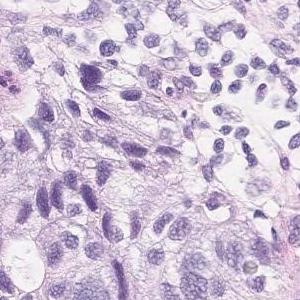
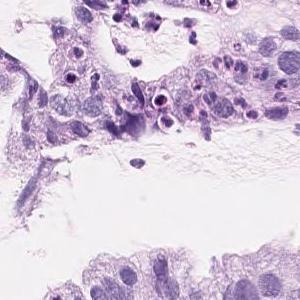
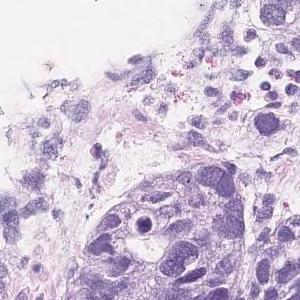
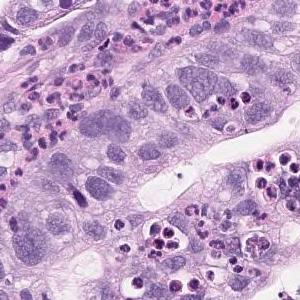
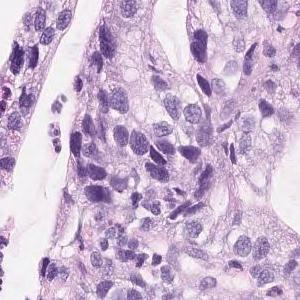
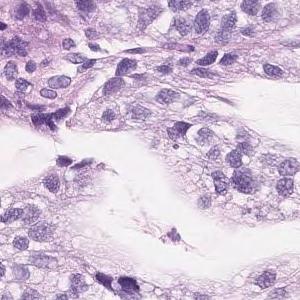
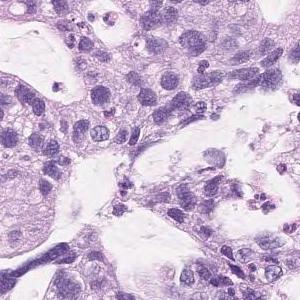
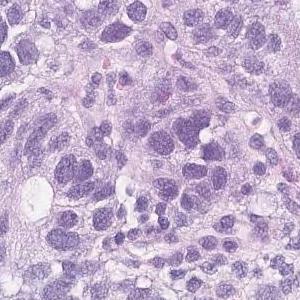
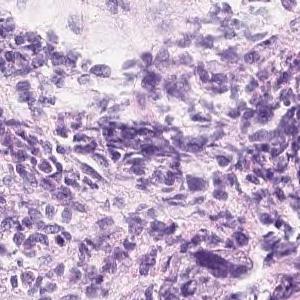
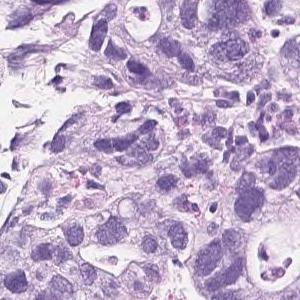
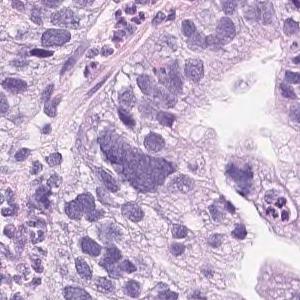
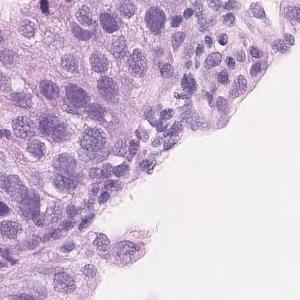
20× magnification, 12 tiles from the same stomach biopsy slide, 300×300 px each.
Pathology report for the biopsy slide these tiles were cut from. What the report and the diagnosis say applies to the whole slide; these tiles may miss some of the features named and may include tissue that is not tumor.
On the superficial epithelium, tumor tissue consisting of large, irregular glandular ducts partially fused and infiltrated is observed. Well to moderately differentiated tubular adenocarcinoma (well differentiated tubular adenocarcinoma, moderately differentiated tubular adenocarcinoma)
Histologic type: Well to moderately differentiated tubular adenocarcinoma.
